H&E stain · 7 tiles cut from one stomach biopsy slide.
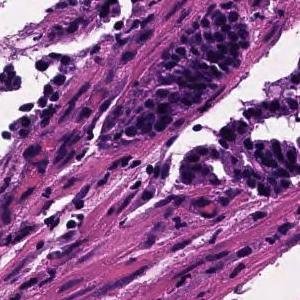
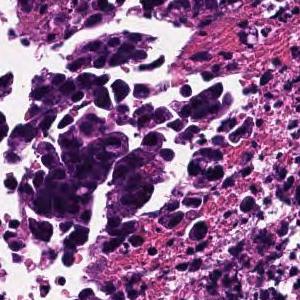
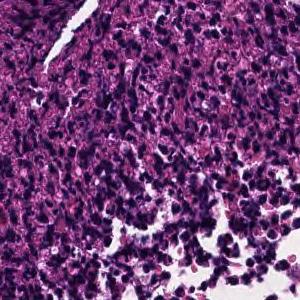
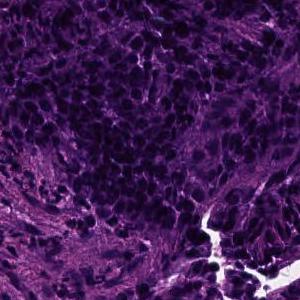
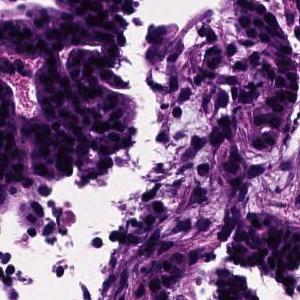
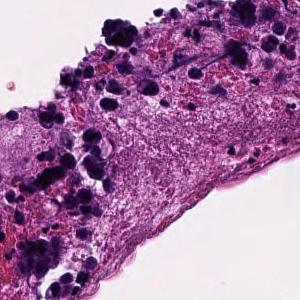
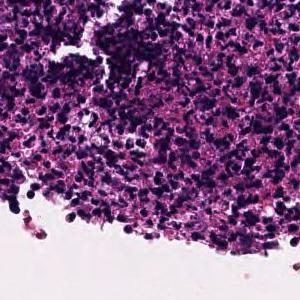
Report on the slide these tiles come from. The findings and the diagnosis refer to the entire slide; these tiles show only part of it, possibly with non-tumor tissue, and may not show every feature named.
In the superficial epithelium, tumor tissue that invades by forming medium-sized to small, irregular ducts is observed. moderately differentiated tubular adenocarcinoma.
